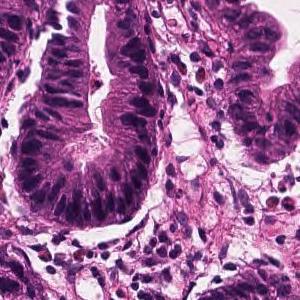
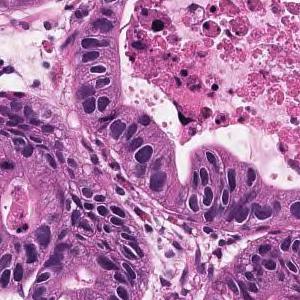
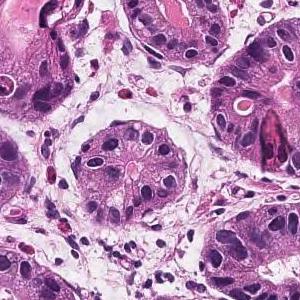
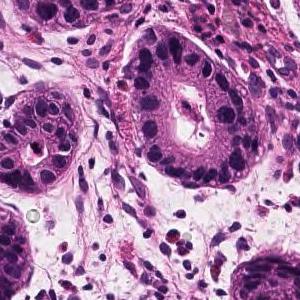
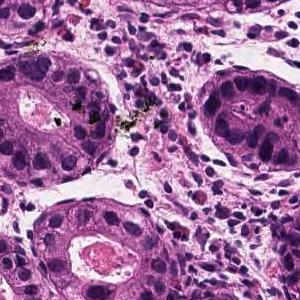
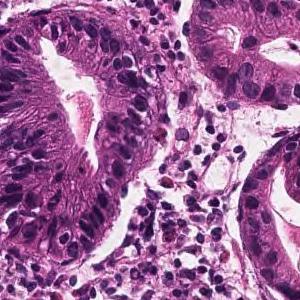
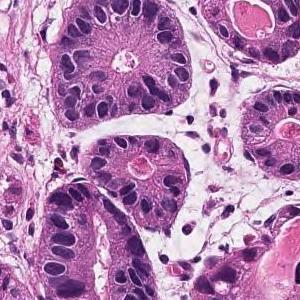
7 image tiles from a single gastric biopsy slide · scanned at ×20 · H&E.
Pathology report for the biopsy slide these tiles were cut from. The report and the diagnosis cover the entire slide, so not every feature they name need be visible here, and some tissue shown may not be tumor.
Tumor tissue in which medium to small irregular ducts infiltrate and proliferate in the submucosa can be seen in the epithelium. Well differentiated tubular adenocarcinoma
